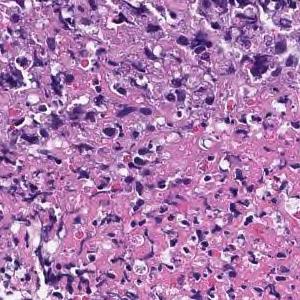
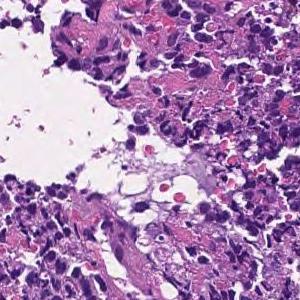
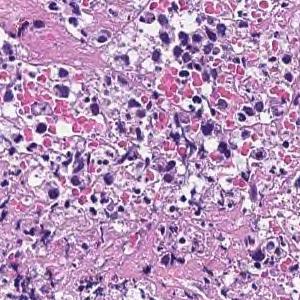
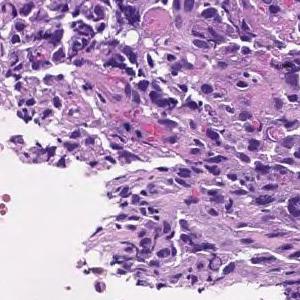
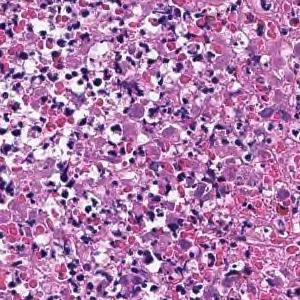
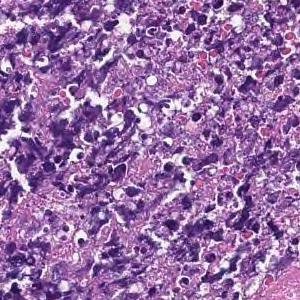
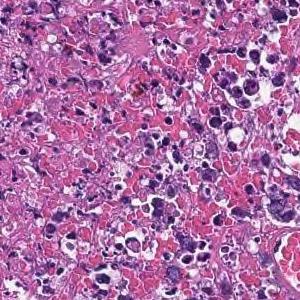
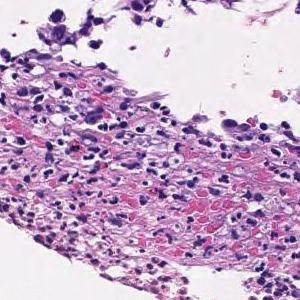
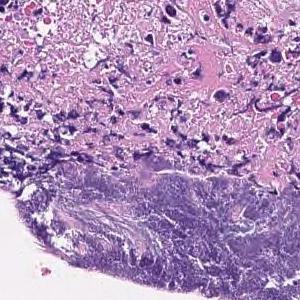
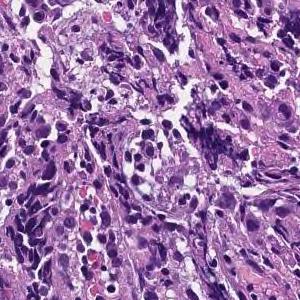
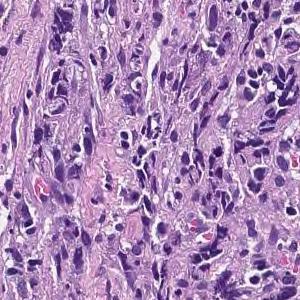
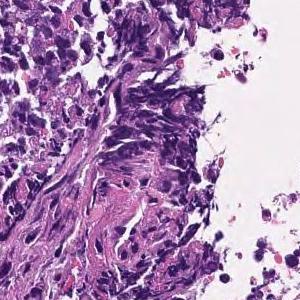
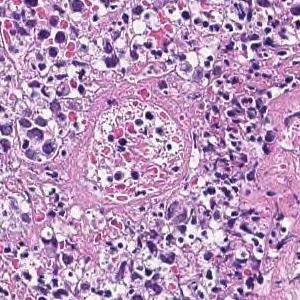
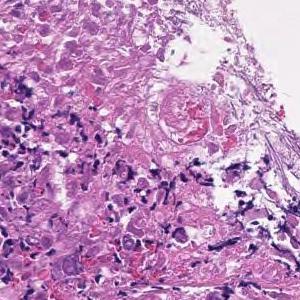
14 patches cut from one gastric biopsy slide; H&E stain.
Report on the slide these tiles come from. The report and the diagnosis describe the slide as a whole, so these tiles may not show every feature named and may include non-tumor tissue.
Most are composed of coagulative necrotic tissue, but some show a large sheet-like shape, and some show tumor tissue infiltrating with a small cord-like structure. Poorly differentiated adenocarcinoma, solid-type
Histologic type: Poorly differentiated adenocarcinoma, solid type (Japanese Classification of Gastric Carcinoma). The WHO 2019 equivalent is tubular adenocarcinoma, poorly differentiated.
